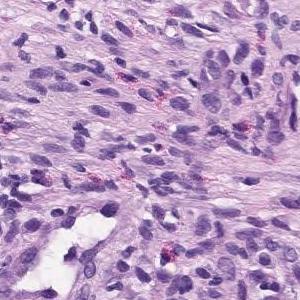
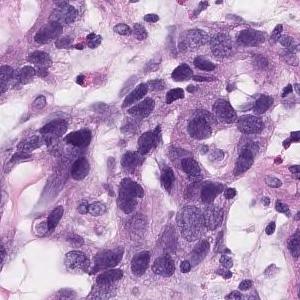
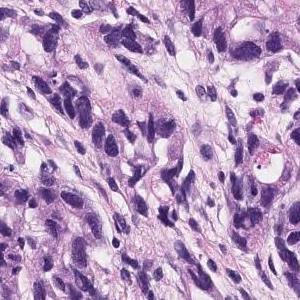
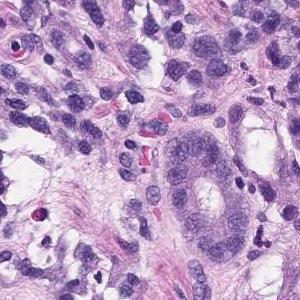
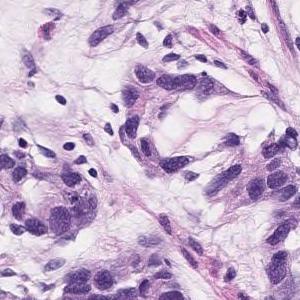
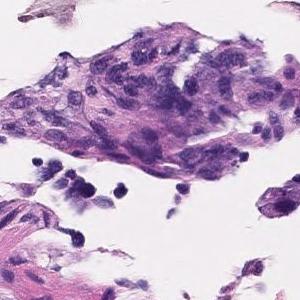
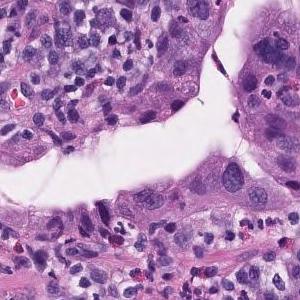
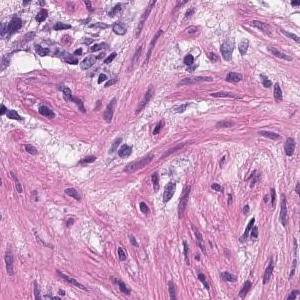
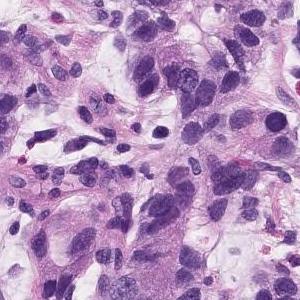
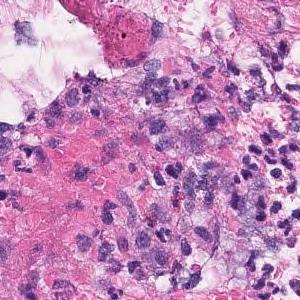
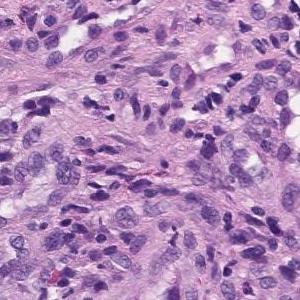
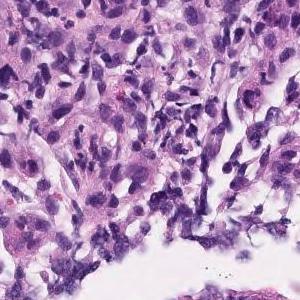
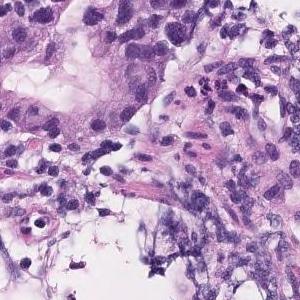
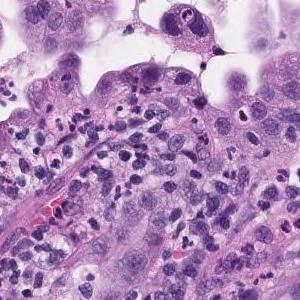
Hematoxylin and eosin stain · 14 patches cut from one gastric biopsy slide.
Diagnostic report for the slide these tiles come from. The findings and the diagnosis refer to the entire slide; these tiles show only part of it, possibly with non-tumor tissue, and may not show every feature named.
Group 5, Adenocarcinoma. Moderately to poorly differentiated adenocarcinoma
